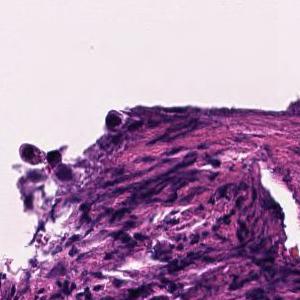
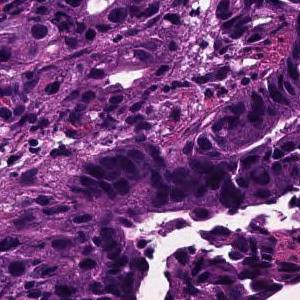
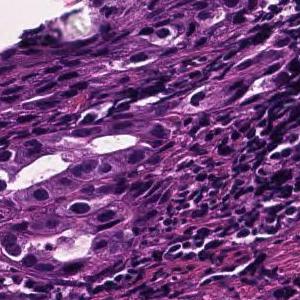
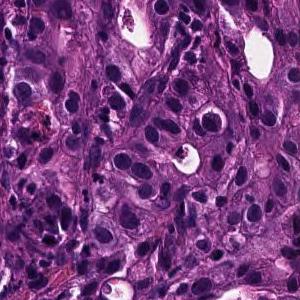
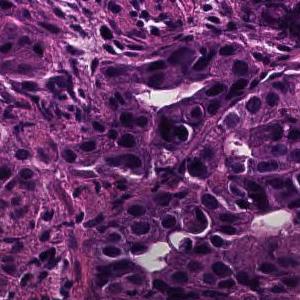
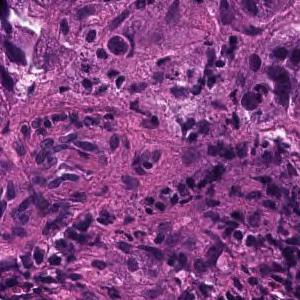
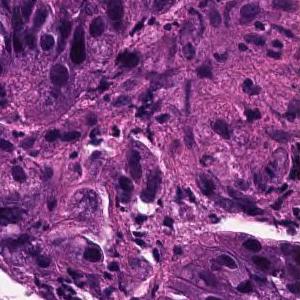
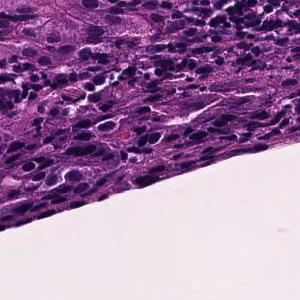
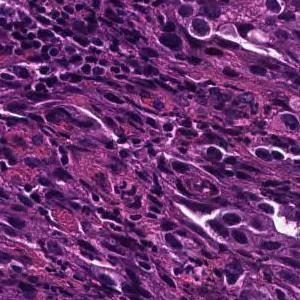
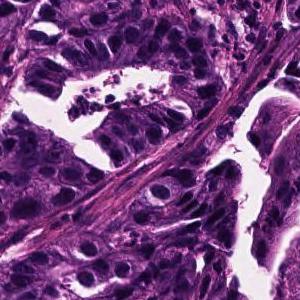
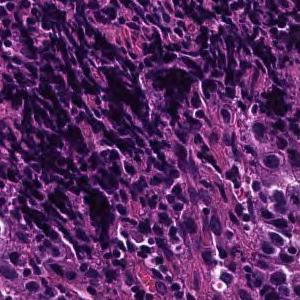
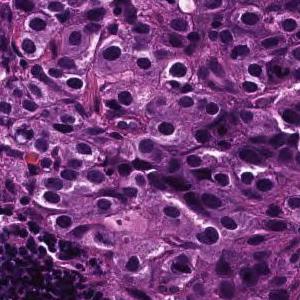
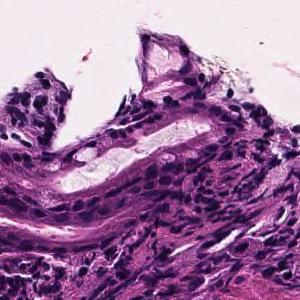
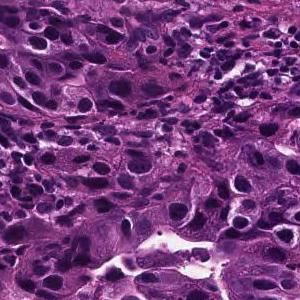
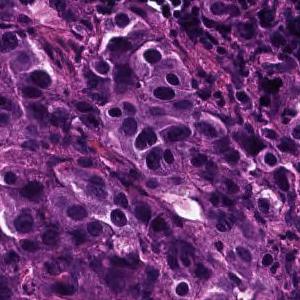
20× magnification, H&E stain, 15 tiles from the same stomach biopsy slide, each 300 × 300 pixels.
Pathology report for the slide these tiles were cut from. The report describes the whole slide, diagnosis included: not every finding it names need appear in these tiles, which may also show non-tumor tissue.
Tumor tissue consisting of medium-sized, cord-like or irregular glandular fusion and infiltration is observed in the superficial epithelium. Poorly differentiated adenocarcinoma, non-solid type or moderately differentiated tubular adenocarcinoma
Histological subtype: Moderately to poorly differentiated adenocarcinoma.
The non-solid type named here is a Japanese Classification of Gastric Carcinoma category.
